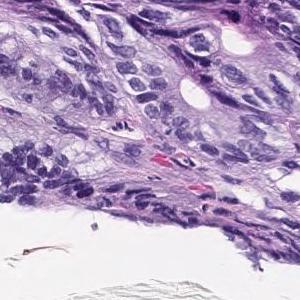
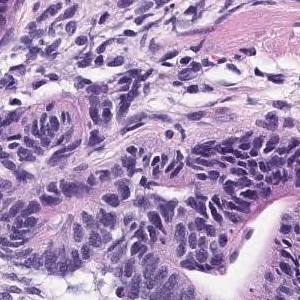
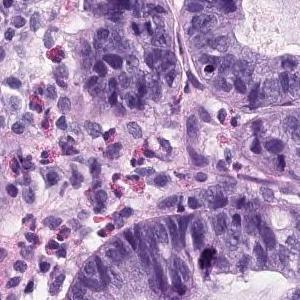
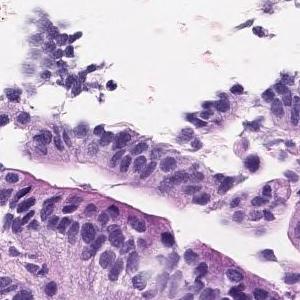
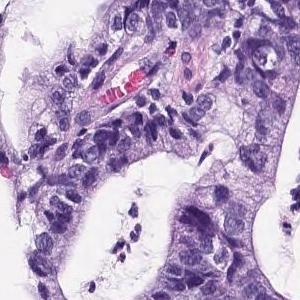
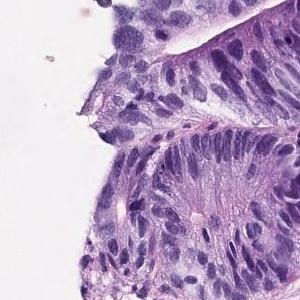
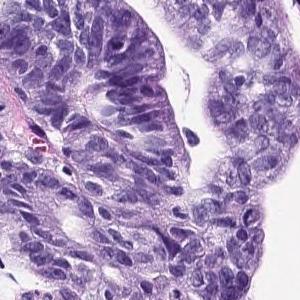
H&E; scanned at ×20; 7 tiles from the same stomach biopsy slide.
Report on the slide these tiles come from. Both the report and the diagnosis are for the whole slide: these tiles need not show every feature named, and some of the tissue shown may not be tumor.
On the superficial epithelium, tumor tissue consisting of medium-sized to large-sized, round or irregular glandular duct growth images is observed. Well differentiated adenocarcinoma.
Tumor subtype: well differentiated tubular adenocarcinoma.
